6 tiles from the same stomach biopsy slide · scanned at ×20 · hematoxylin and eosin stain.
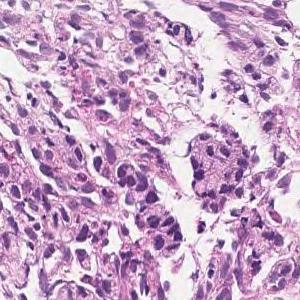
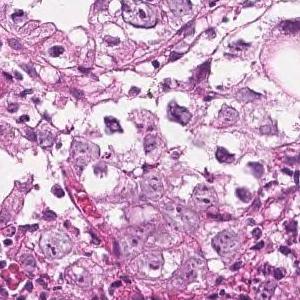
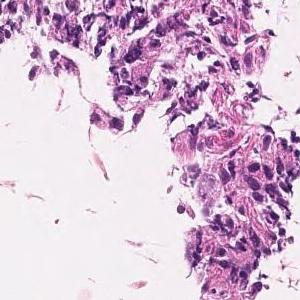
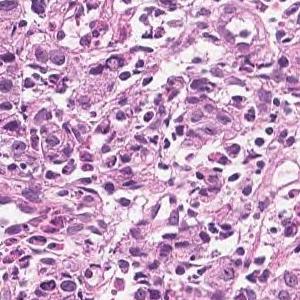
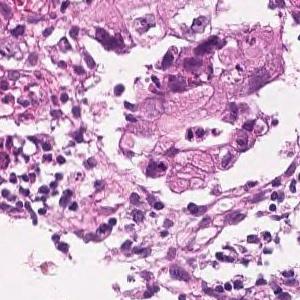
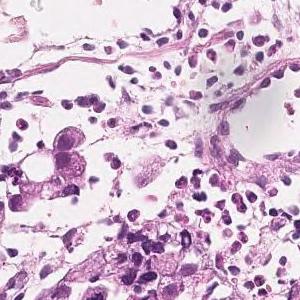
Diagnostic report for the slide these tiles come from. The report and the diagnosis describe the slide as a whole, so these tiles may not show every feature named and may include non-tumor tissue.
In the superficial epithelium, medium to small, irregular glandular ducts are formed, and in some parts, the glandular ducts are fused, and in other parts, small cord-like infiltrating tumor tissue is observed. Moderately to poorly differentiated adenocarcinoma.
